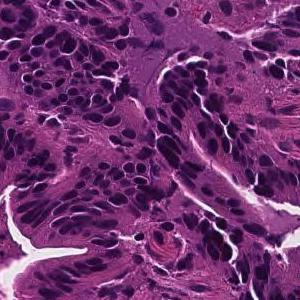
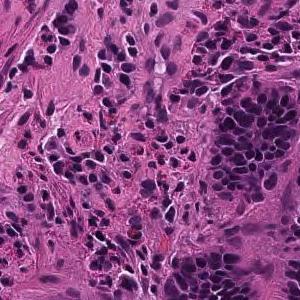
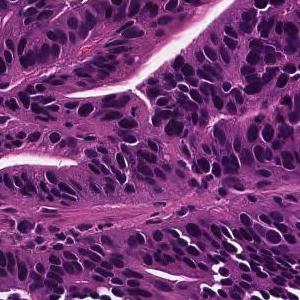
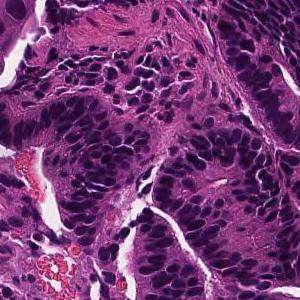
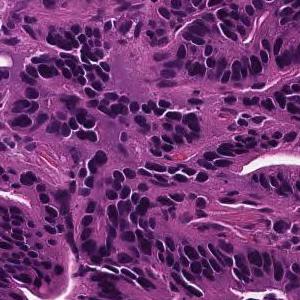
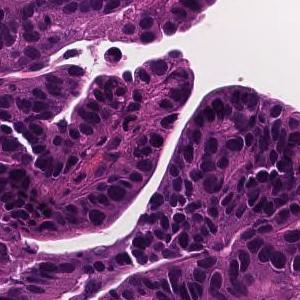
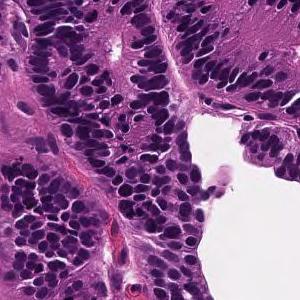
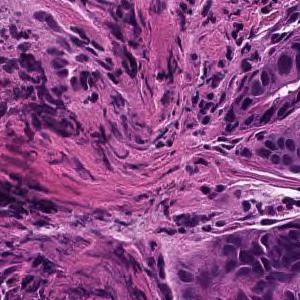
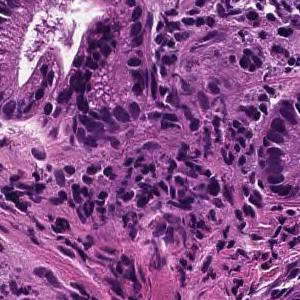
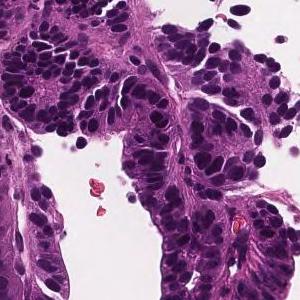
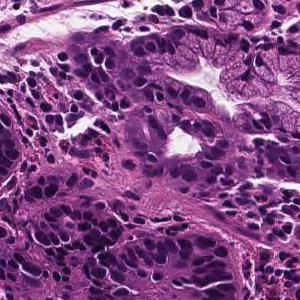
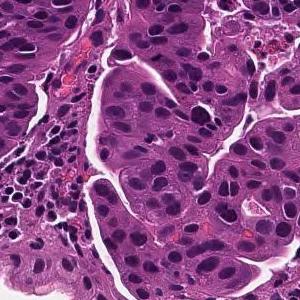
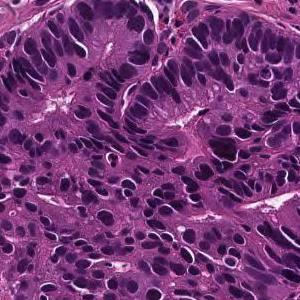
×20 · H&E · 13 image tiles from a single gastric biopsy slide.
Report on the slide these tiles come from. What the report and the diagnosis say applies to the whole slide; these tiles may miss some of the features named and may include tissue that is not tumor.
From the superficial epithelium to the muscularis mucosae, tumor tissue consisting of medium-sized and irregular glandular ducts infiltrating is observed. Well differentiated tubular adenocarcinoma
